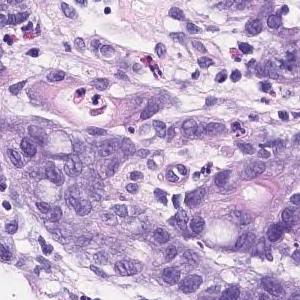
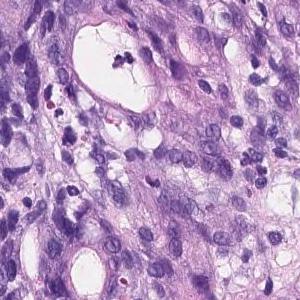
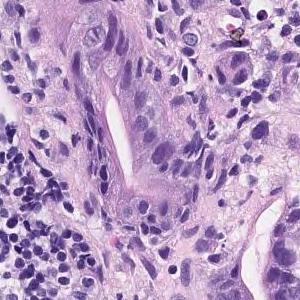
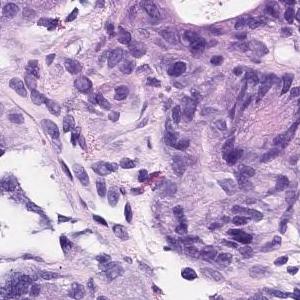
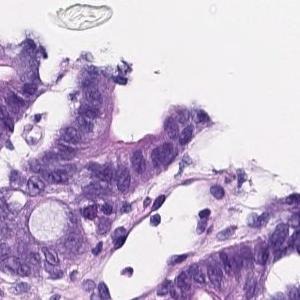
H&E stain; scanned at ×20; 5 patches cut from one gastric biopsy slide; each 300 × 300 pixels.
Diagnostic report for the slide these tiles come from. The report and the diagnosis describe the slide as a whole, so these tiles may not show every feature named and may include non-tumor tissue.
Irregularly fused atypical ducts proliferating while replacing existing ducts was observed. moderately differentiated tubular adenocarcinoma
